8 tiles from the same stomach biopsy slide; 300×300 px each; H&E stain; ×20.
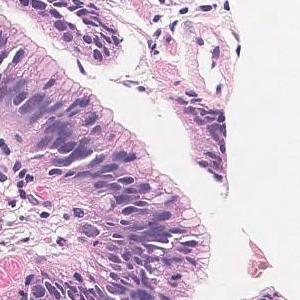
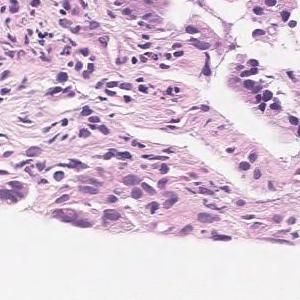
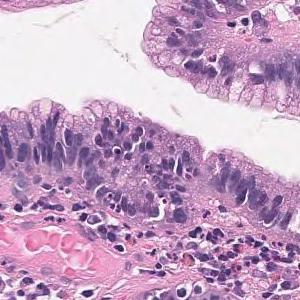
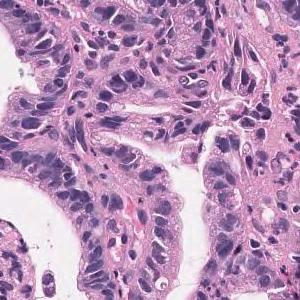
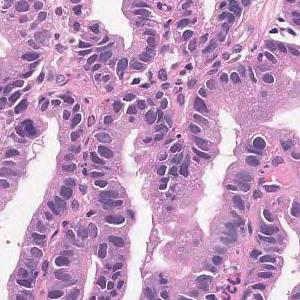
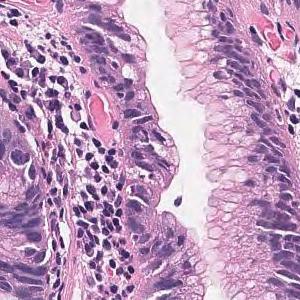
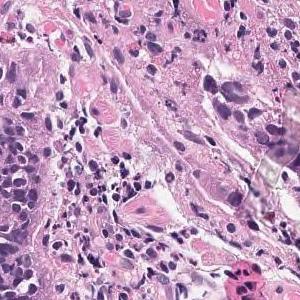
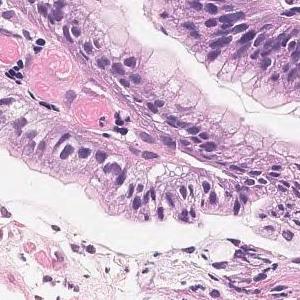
Report on the slide these tiles come from. The report describes the whole slide, diagnosis included: not every finding it names need appear in these tiles, which may also show non-tumor tissue.
Tumor tissue that grows tubular from the surface to the glandular fossa is seen. Adenocarcinoma.
Classified as well differentiated tubular adenocarcinoma.
